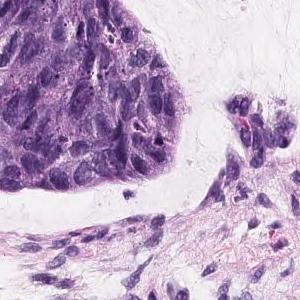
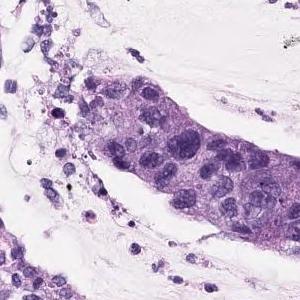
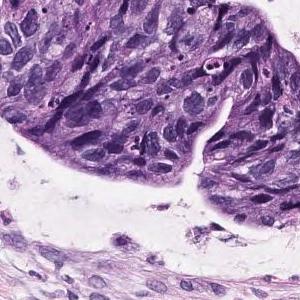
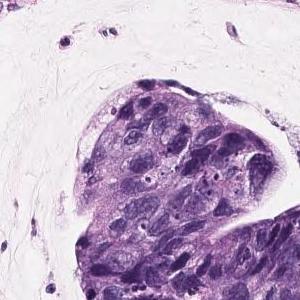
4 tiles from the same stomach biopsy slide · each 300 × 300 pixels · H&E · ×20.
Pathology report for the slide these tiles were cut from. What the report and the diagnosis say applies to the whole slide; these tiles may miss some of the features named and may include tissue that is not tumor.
A few small agglomerates of atypical epithelium appear to float in the mucus. Mucinous adenocarcinoma.
